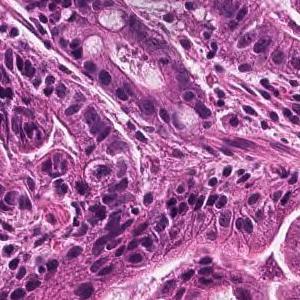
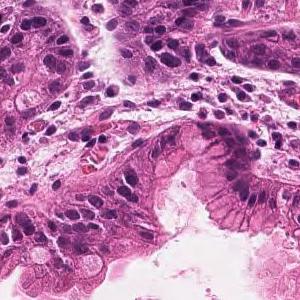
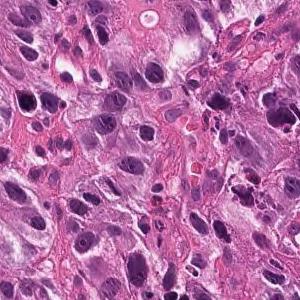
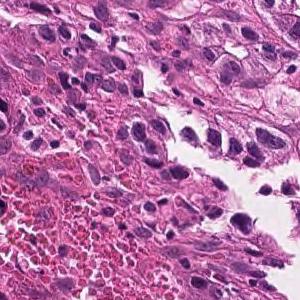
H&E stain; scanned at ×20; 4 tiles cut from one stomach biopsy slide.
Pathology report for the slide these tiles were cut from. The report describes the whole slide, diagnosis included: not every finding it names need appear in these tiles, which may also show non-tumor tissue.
Tumor tissue consisting of medium-sized, cord-like or irregular glandular infiltration is observed in the superficial epithelium. Poorly differentiated adenocarcinoma, non-solid type or moderately differentiated tubular adenocarcinoma
Subtype: Moderately to poorly differentiated adenocarcinoma.
The term "non-solid type" comes from the Japanese Classification of Gastric Carcinoma.
